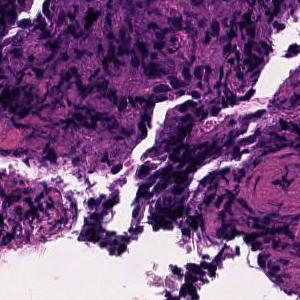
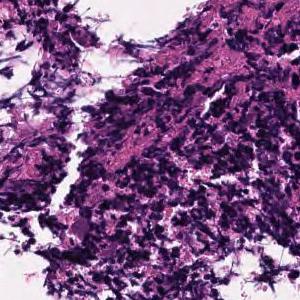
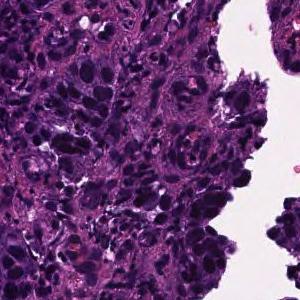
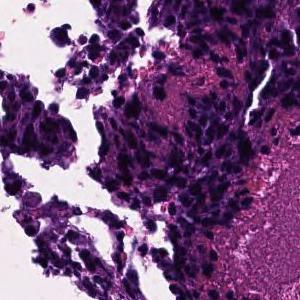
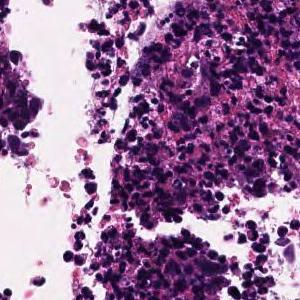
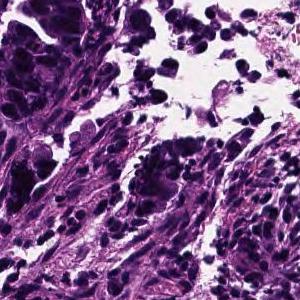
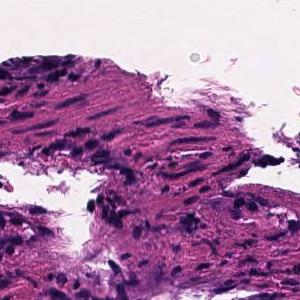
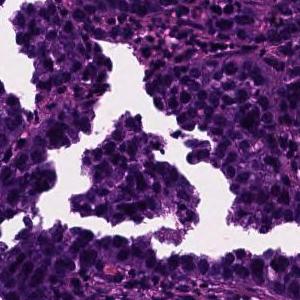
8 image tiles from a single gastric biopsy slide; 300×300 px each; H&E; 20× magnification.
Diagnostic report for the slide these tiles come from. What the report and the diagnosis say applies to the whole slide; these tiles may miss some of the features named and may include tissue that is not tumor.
In the superficial epithelium, tumor tissue that invades by forming medium-sized to small, irregular ducts is observed. moderately differentiated tubular adenocarcinoma.
